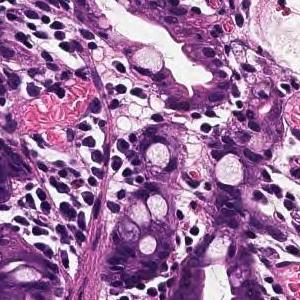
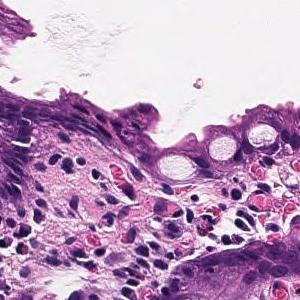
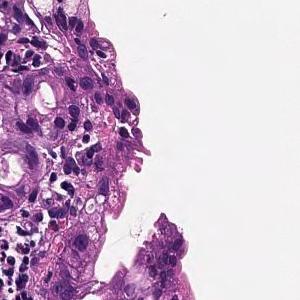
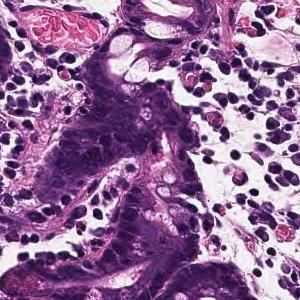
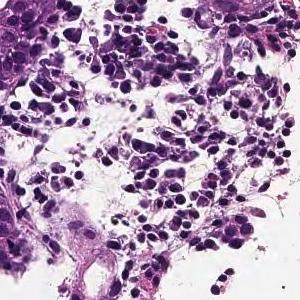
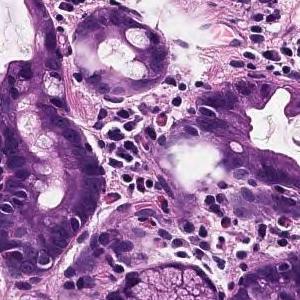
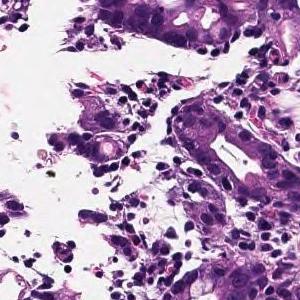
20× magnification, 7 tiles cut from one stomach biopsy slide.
The pathologist's report on the biopsy slide these tiles were taken from. The report and the diagnosis describe the slide as a whole, so these tiles may not show every feature named and may include non-tumor tissue.
In the superficial epithelium, tumor tissue that invades by forming medium-sized to small, irregular ducts is observed. moderately differentiated tubular adenocarcinoma.
